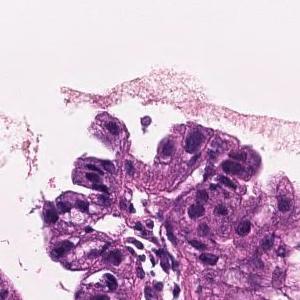
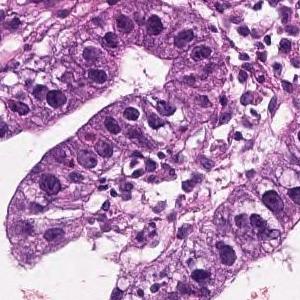
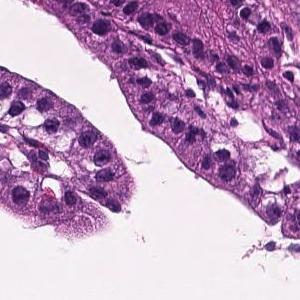
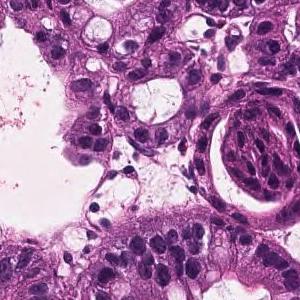
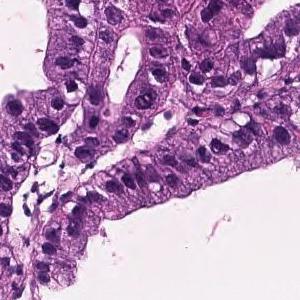
5 image tiles from a single gastric biopsy slide · H&E stain · 20× magnification.
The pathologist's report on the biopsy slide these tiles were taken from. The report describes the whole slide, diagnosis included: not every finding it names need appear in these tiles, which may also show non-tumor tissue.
On the superficial epithelium, tumor tissue that infiltrates by forming medium-sized papillary or small irregular ducts is observed. Papillary adenocarcinoma
